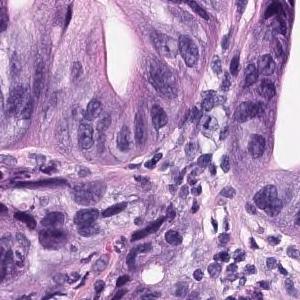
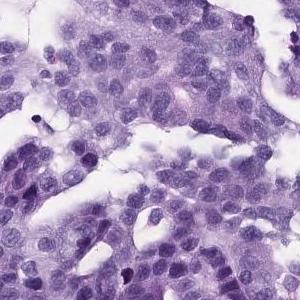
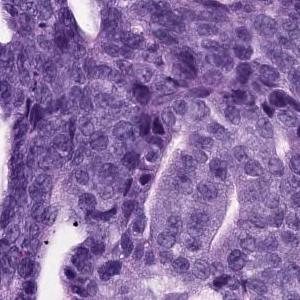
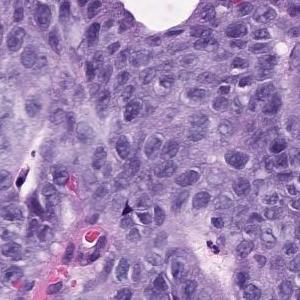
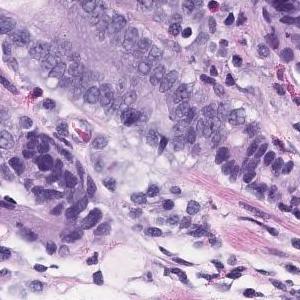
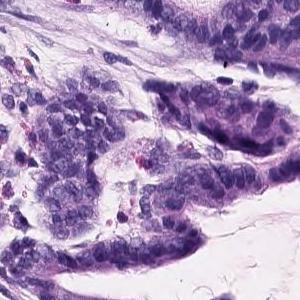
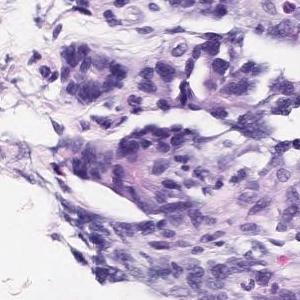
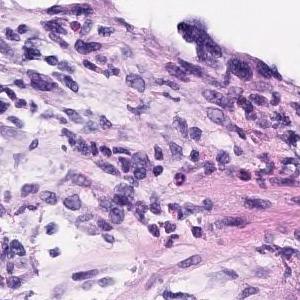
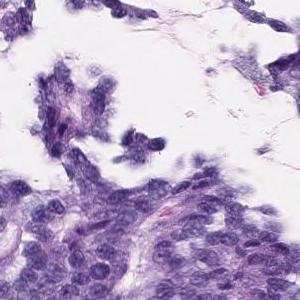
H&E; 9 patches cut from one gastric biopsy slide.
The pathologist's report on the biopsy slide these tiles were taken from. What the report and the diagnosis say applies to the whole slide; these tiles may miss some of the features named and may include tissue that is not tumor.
In the superficial epithelium, tumor tissue that invades by forming medium-sized to small, irregular ducts is observed. Well to moderately differentiated tubular adenocarcinoma.
